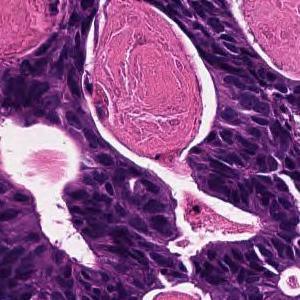
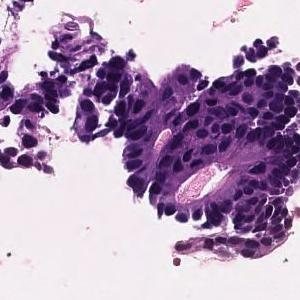
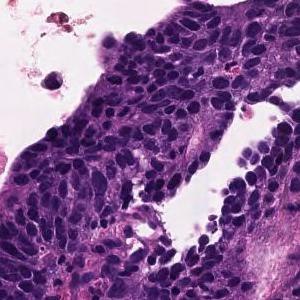
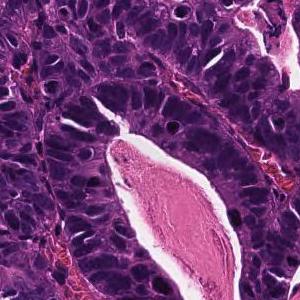
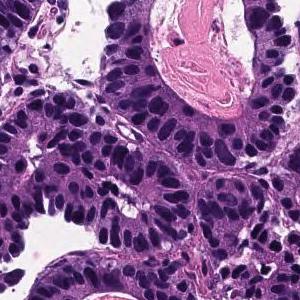
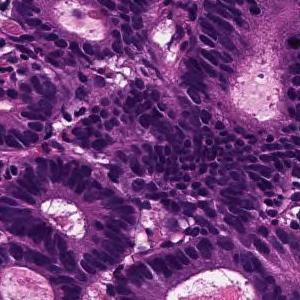
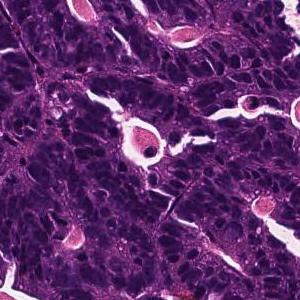
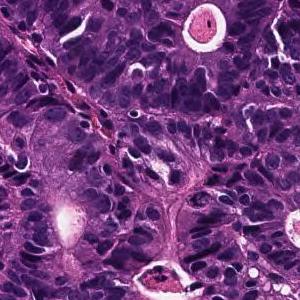
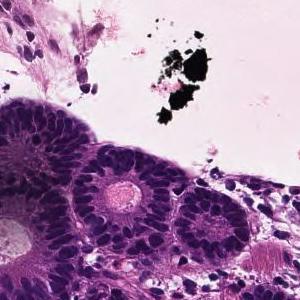
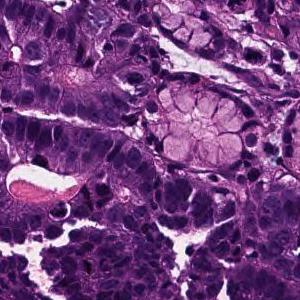
10 tiles from the same stomach biopsy slide · each 300 × 300 pixels · H&E · ×20.
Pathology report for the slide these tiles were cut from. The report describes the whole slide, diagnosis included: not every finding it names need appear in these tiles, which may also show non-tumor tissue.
In the superficial epithelium, tumor tissue that invades by forming medium-sized to small, irregular ducts is observed. moderately differentiated tubular adenocarcinoma.
